13 tiles cut from one stomach biopsy slide; H&E stain; ×20.
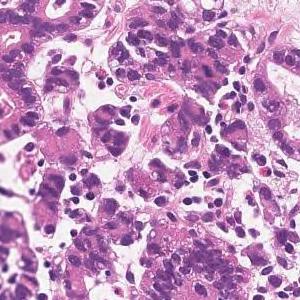
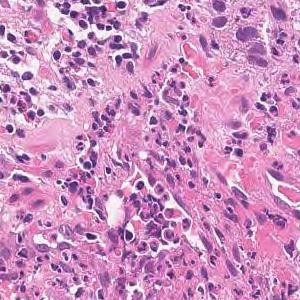
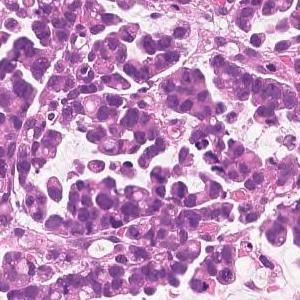
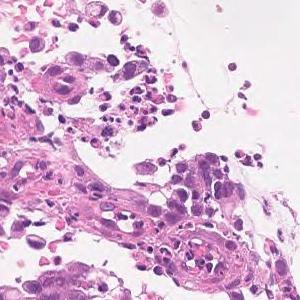
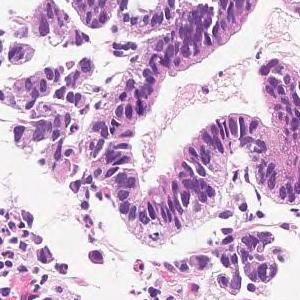
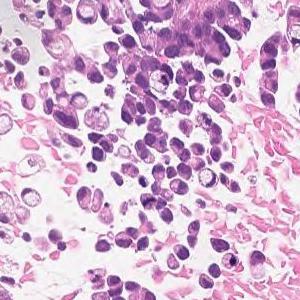
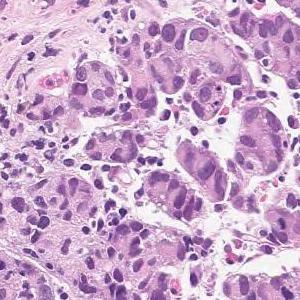
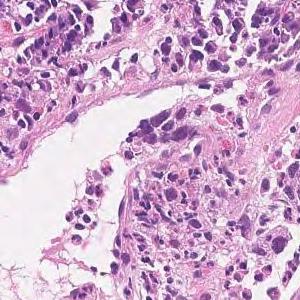
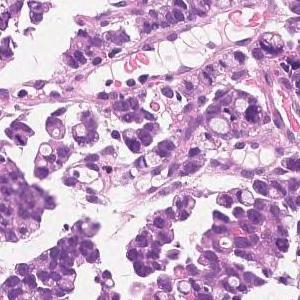
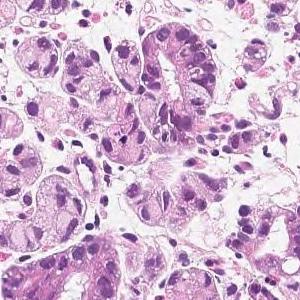
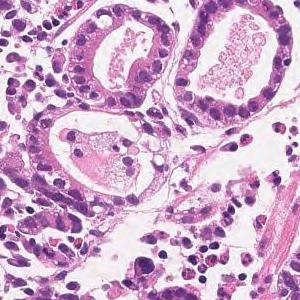
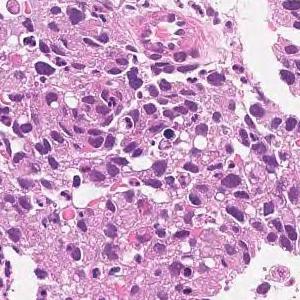
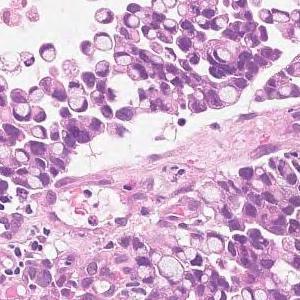
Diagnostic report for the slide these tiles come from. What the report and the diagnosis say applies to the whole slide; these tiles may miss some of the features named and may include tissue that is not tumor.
Medium to small, irregular glandular ducts are formed in the superficial epithelium, and in some cases, the glandular ducts are fused to show solid alveolar lesions and infiltrating tumor tissue is observed. Moderately to poorly differentiated adenocarcinoma.
